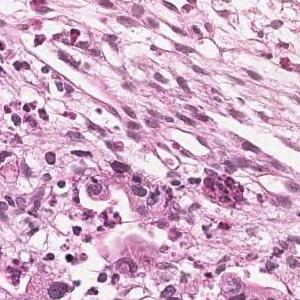
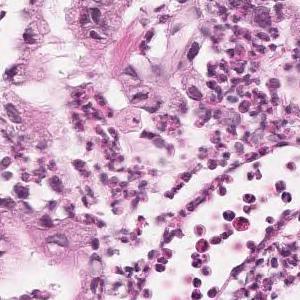
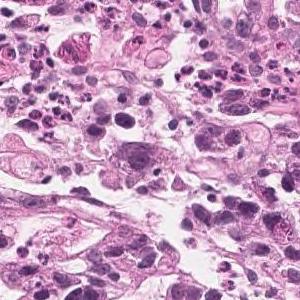
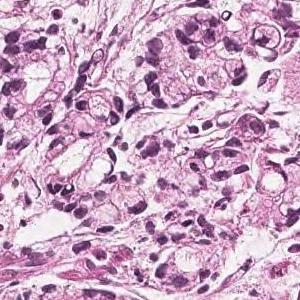
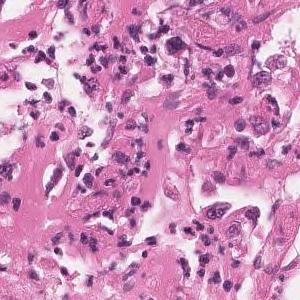
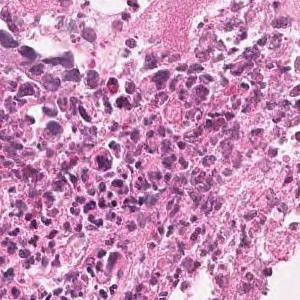
H&E · 20× magnification · 6 patches cut from one gastric biopsy slide.
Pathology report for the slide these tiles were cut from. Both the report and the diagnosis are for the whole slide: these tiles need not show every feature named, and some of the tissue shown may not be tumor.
In the superficial epithelium, medium to small irregular gland ducts are formed, and in some cases, the ducts are fused to show solid alveolar lesions and infiltrating tumor tissue is observed. Moderately to poorly differentiated adenocarcinoma
